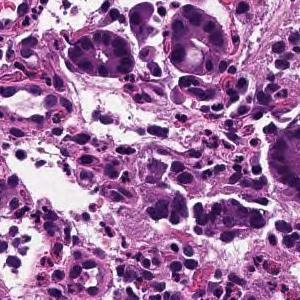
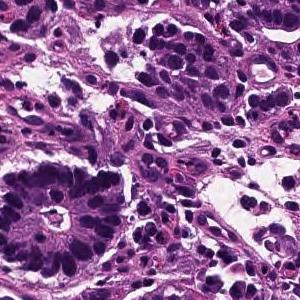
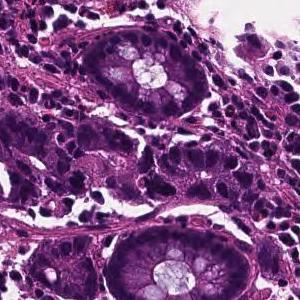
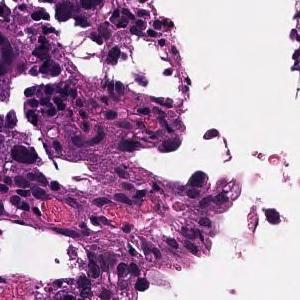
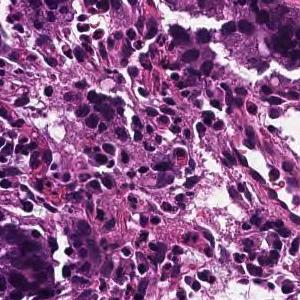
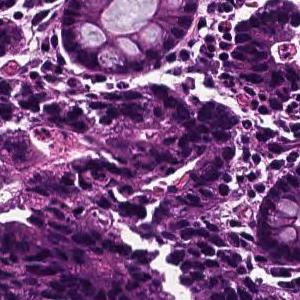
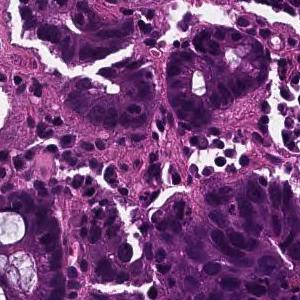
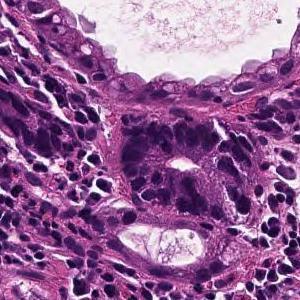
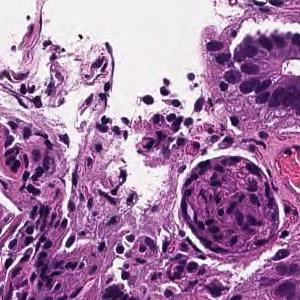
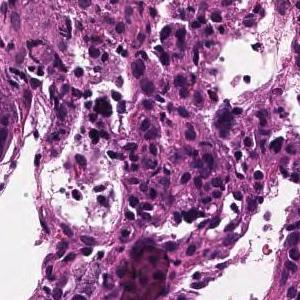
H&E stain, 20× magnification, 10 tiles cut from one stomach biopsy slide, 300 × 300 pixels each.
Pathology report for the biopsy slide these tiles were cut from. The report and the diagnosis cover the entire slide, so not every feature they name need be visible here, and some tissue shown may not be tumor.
In the superficial epithelium, tumor tissue that invades by forming medium-sized to small, irregular ducts is observed. moderately differentiated tubular adenocarcinoma.
